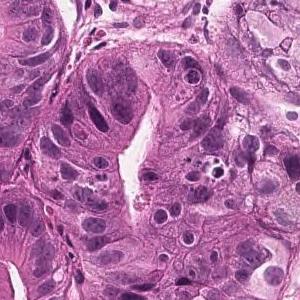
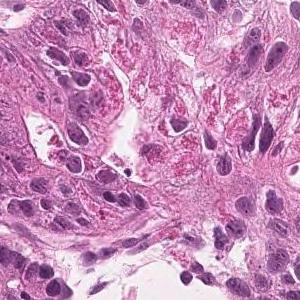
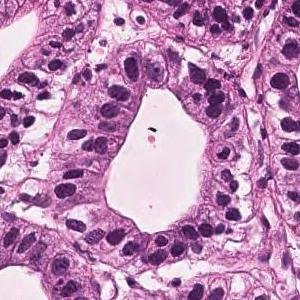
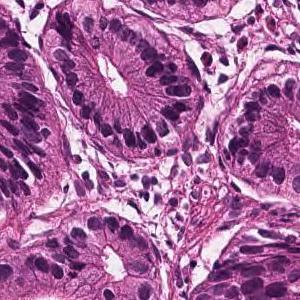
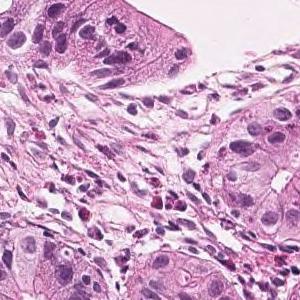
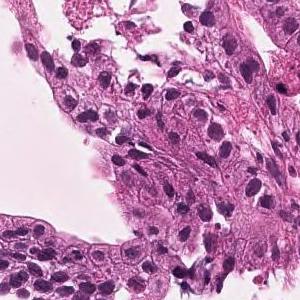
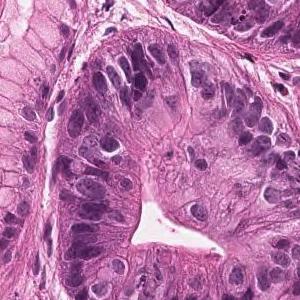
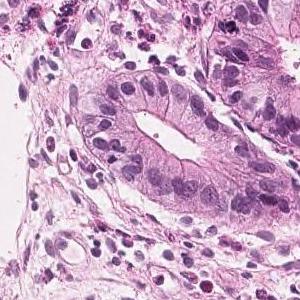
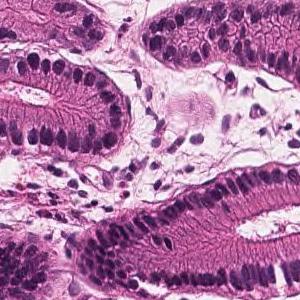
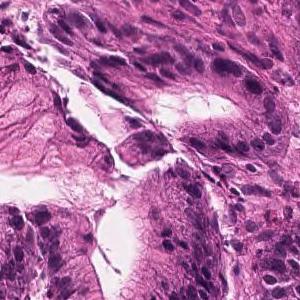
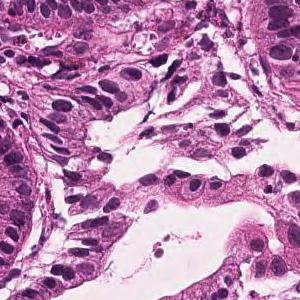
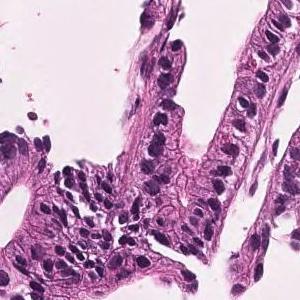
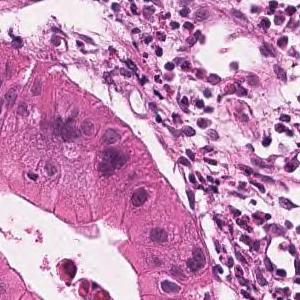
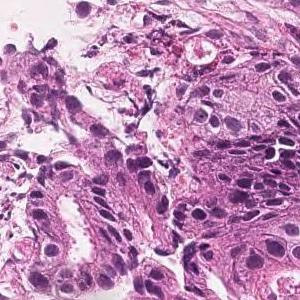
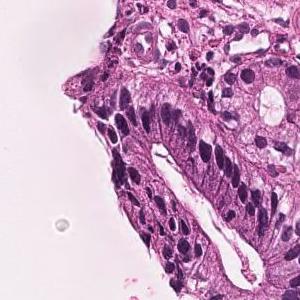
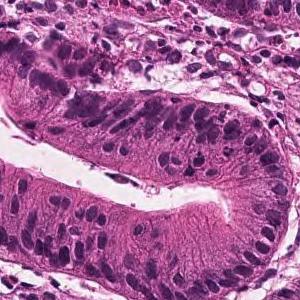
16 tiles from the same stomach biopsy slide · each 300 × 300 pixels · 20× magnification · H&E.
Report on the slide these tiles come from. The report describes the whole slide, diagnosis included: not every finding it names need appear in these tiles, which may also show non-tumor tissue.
Tumor tissue consisting of medium-sized and irregular ducts is observed infiltrating in the superficial epithelium. Tumor cells are highly columnar, with nuclei aligned basolaterally and polarized. Well differentiated tubular adenocarcinoma.
